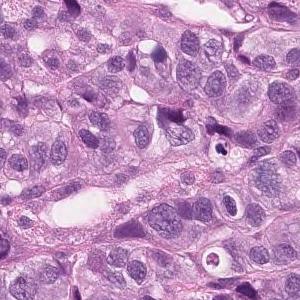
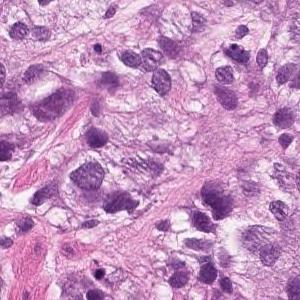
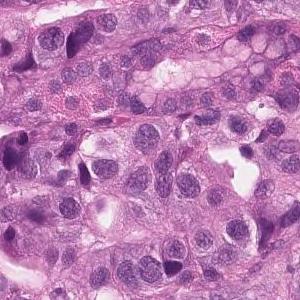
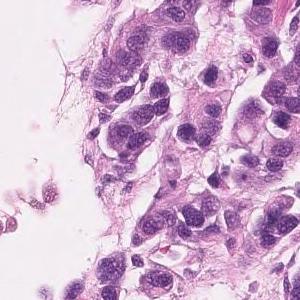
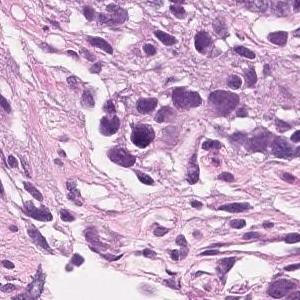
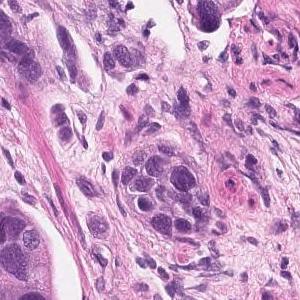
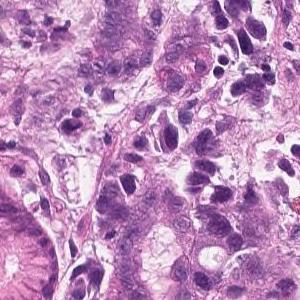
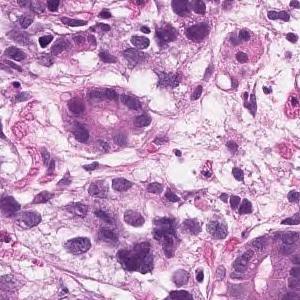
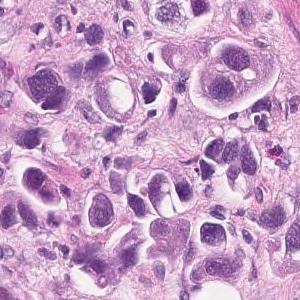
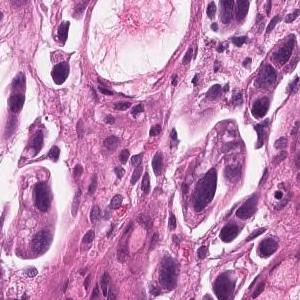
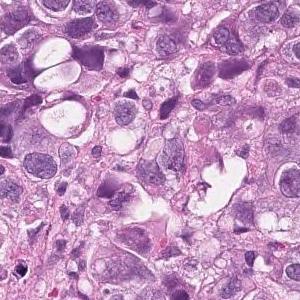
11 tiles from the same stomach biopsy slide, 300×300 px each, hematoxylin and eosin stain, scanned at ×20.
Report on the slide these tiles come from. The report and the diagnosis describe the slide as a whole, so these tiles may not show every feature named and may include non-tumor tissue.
Tumor tissue that infiltrates the epithelium in an alveolar manner. Poorly differentiated adenocarcinoma, solid-type
Subtype: Poorly differentiated adenocarcinoma, solid type. This name comes from the Japanese Classification of Gastric Carcinoma; the WHO 2019 classification calls it tubular adenocarcinoma, poorly differentiated.
